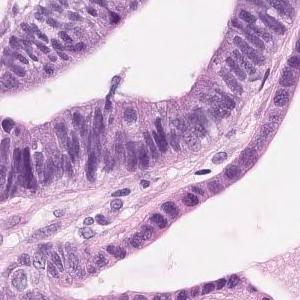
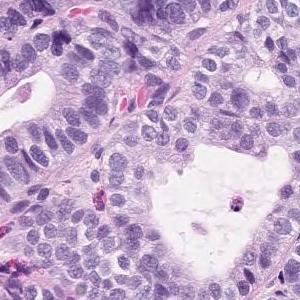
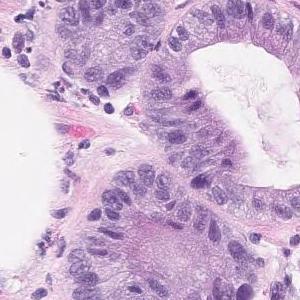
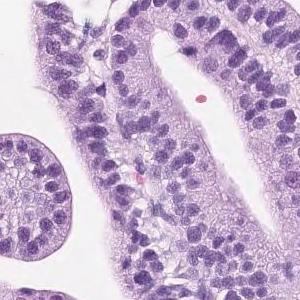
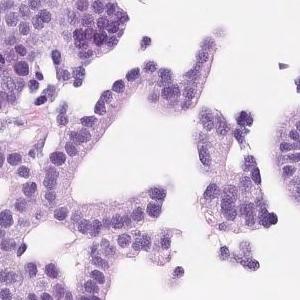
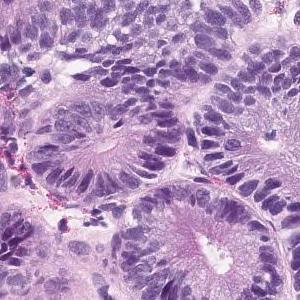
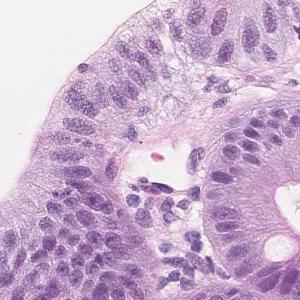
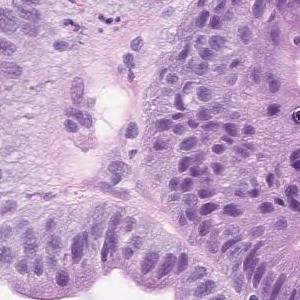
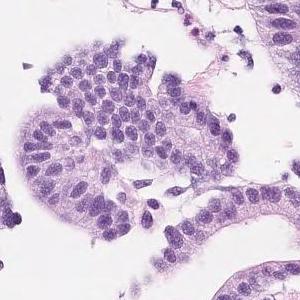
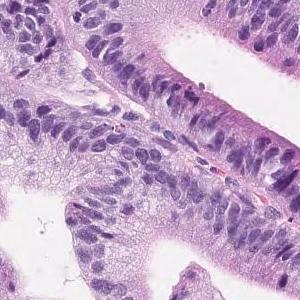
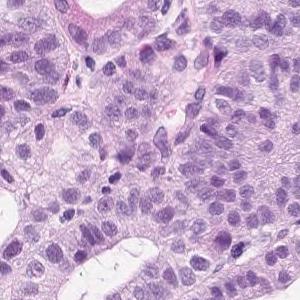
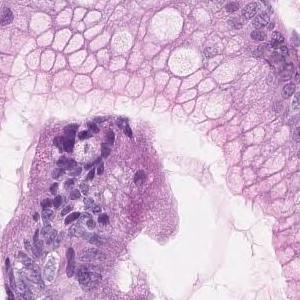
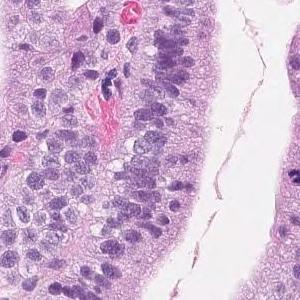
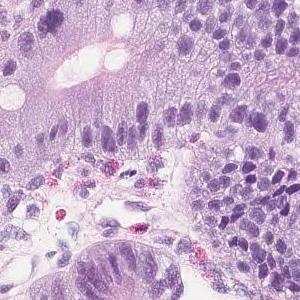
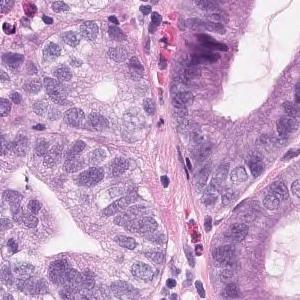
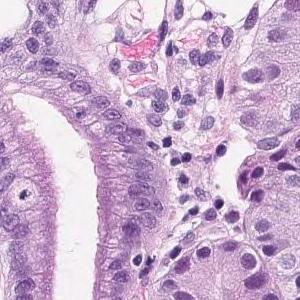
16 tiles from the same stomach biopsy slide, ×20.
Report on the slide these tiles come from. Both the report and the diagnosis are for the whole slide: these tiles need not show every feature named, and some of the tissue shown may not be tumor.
Short atypical epithelium with swelling of the nucleus shows proliferating, large and small irregular ductal structures. Well to moderately differentiated tubular adenocarcinoma (well differentiated tubular adenocarcinoma-moderately differentiated tubular adenocarcinoma)
Subtype: Well to moderately differentiated tubular adenocarcinoma.
